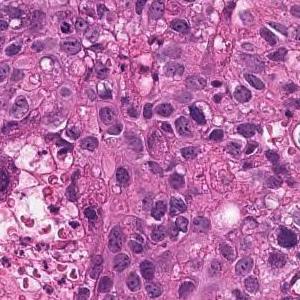
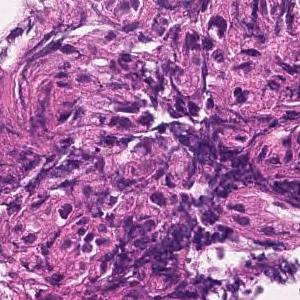
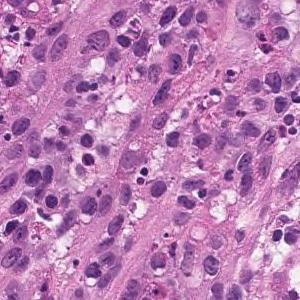
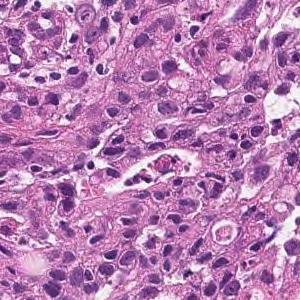
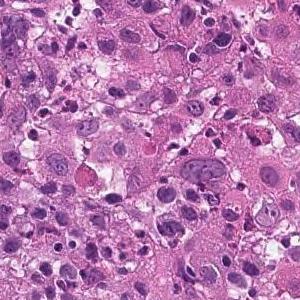
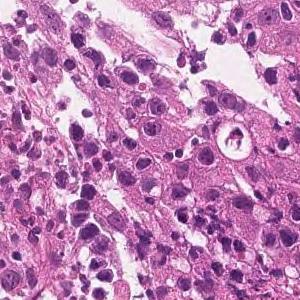
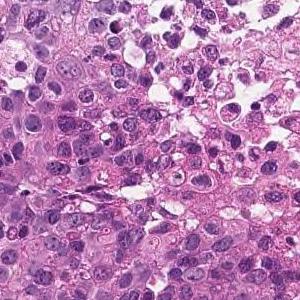
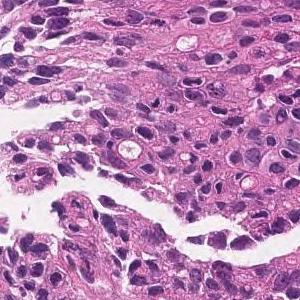
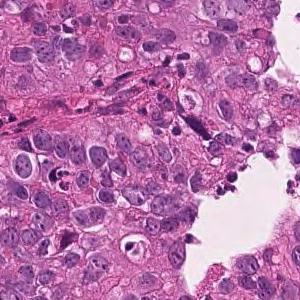
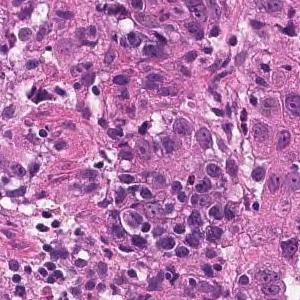
Hematoxylin and eosin stain · ×20 · 10 patches cut from one gastric biopsy slide · 300 × 300 pixels each.
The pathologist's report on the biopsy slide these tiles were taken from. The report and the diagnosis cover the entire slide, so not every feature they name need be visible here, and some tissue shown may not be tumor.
The superficial epithelium shows a large sheet-like shape, and some tumor tissue infiltrates with small irregular ducts. Poorly differentiated adenocarcinoma, solid-type
Histologic type: Poorly differentiated adenocarcinoma, solid type. This name comes from the Japanese Classification of Gastric Carcinoma; the WHO 2019 classification calls it tubular adenocarcinoma, poorly differentiated.
